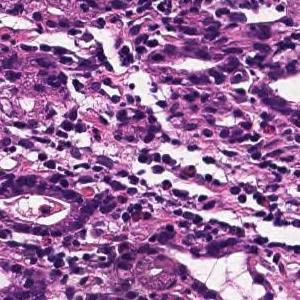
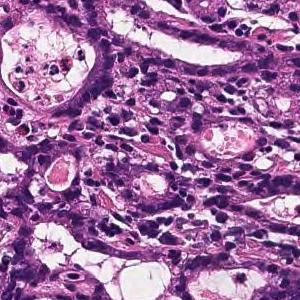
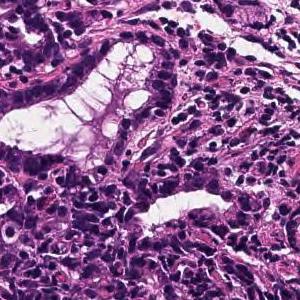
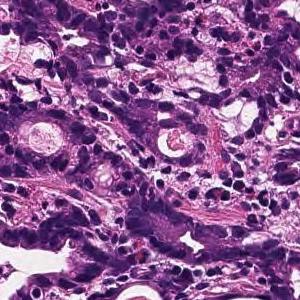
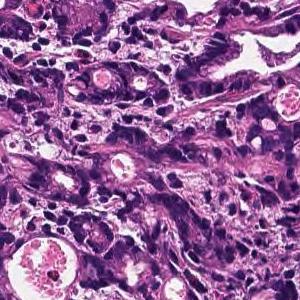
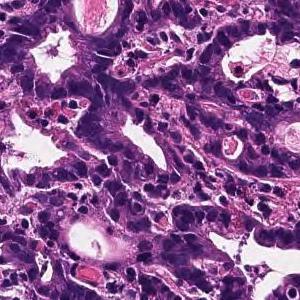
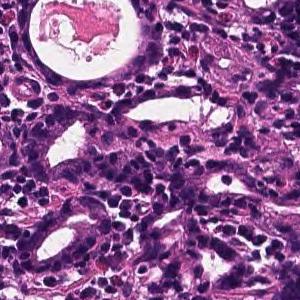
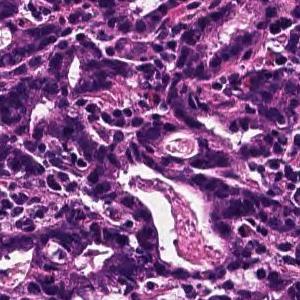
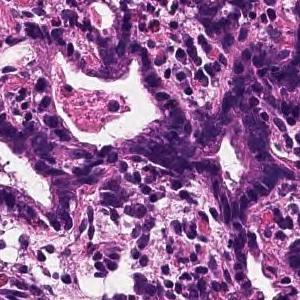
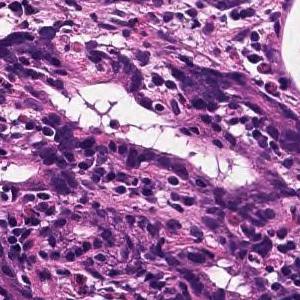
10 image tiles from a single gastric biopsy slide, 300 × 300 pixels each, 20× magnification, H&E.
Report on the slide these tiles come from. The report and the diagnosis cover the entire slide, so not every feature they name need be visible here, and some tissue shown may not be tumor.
On the superficial epithelium, tumor tissue is found in which medium-sized irregular gland ducts fuse with each other and infiltrate. moderately differentiated tubular adenocarcinoma
